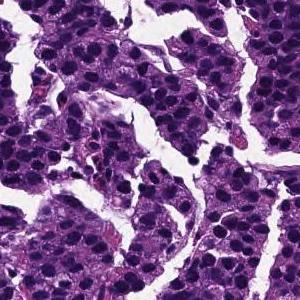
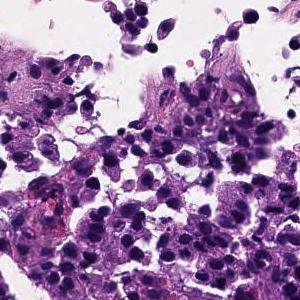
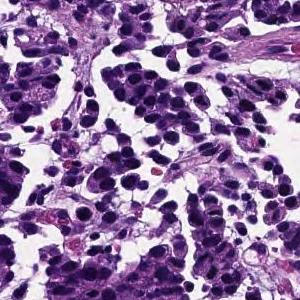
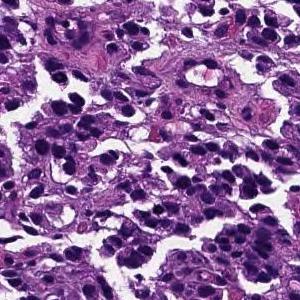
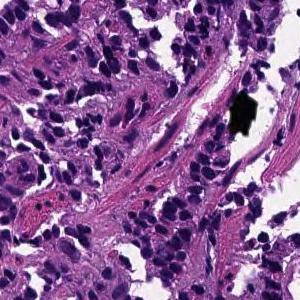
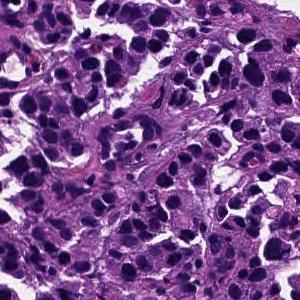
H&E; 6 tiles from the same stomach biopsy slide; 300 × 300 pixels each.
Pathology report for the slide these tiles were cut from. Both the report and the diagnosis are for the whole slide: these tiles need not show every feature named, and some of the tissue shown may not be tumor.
The superficial epithelium shows a large alveolar shape and infiltrates tumor tissue. Poorly differentiated adenocarcinoma, solid-type
Tumor subtype: poorly differentiated adenocarcinoma, solid type (Japanese Classification of Gastric Carcinoma). The WHO 2019 equivalent is tubular adenocarcinoma, poorly differentiated.
